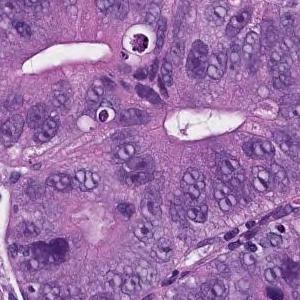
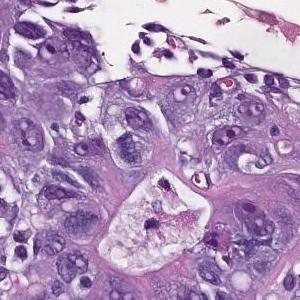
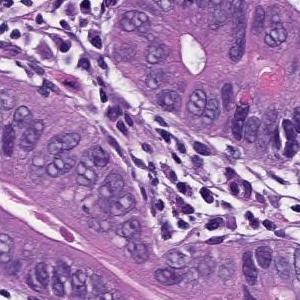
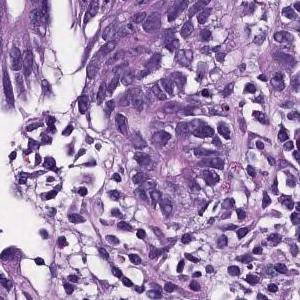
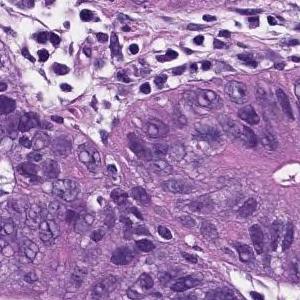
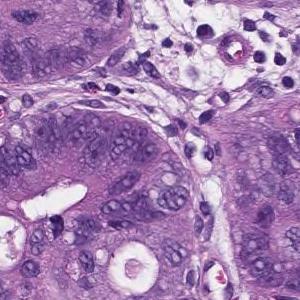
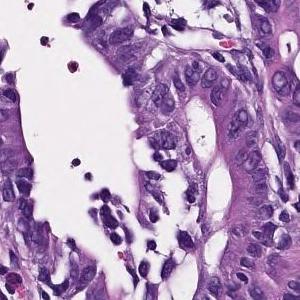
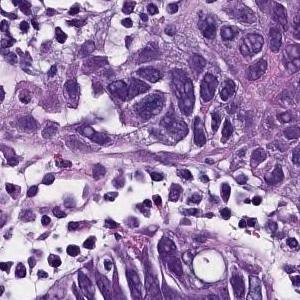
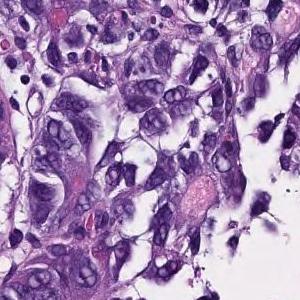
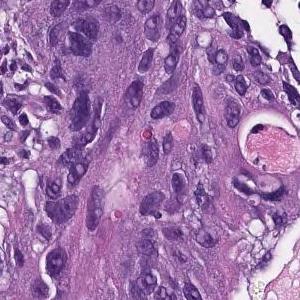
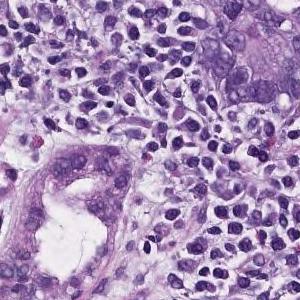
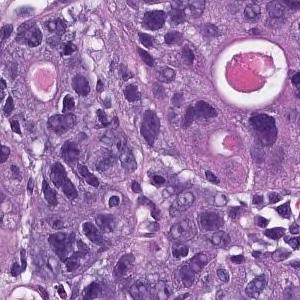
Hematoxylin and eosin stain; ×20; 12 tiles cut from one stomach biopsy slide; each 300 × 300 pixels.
Report on the slide these tiles come from. The report and the diagnosis describe the slide as a whole, so these tiles may not show every feature named and may include non-tumor tissue.
In the superficial epithelium, tumor tissue that invades by forming medium-sized to small, irregular ducts is observed. moderately differentiated tubular adenocarcinoma.
